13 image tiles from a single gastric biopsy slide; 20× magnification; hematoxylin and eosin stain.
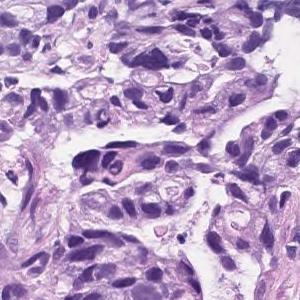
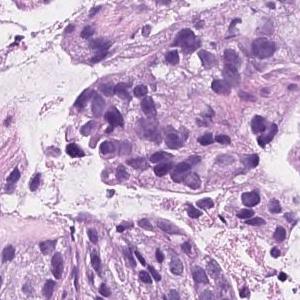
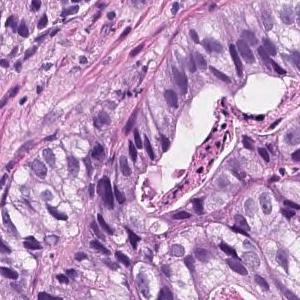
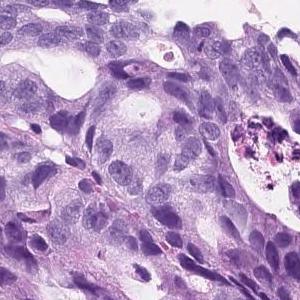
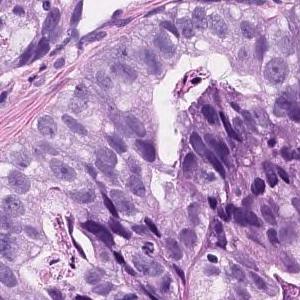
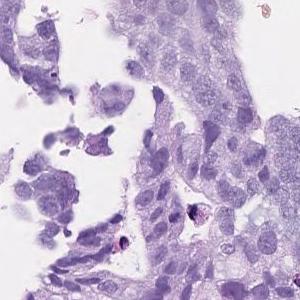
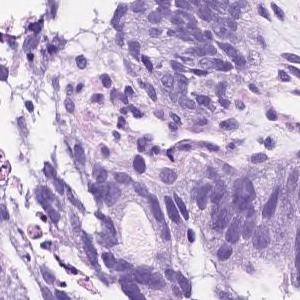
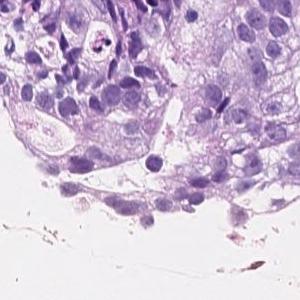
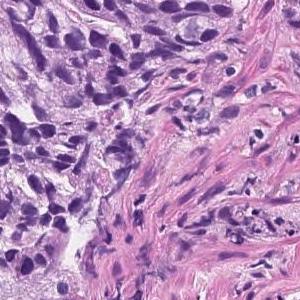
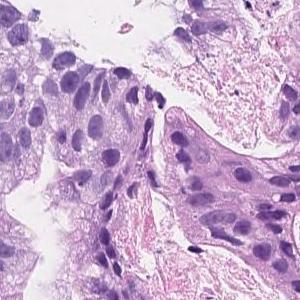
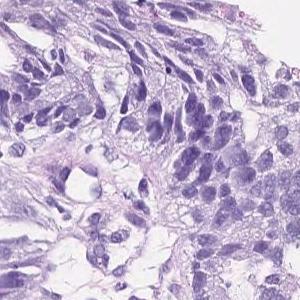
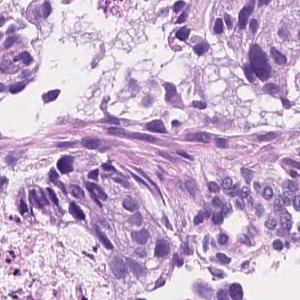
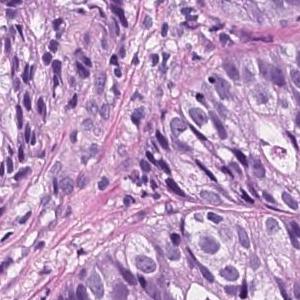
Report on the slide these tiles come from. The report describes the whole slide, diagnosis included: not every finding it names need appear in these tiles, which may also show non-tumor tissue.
On the superficial epithelium, tumor tissue consisting of an image of large, irregular glandular ducts partially fused and infiltrated is observed. Well to moderately differentiated tubular adenocarcinoma
